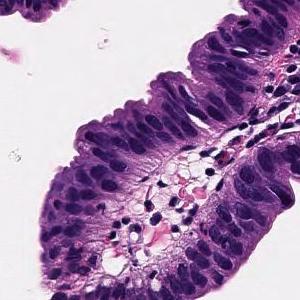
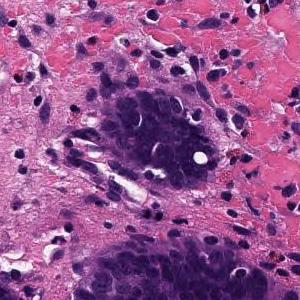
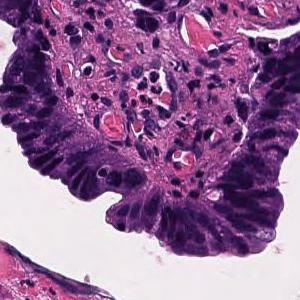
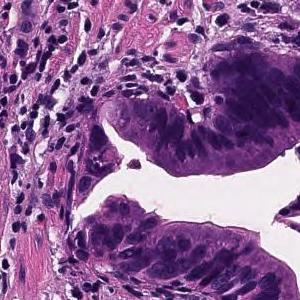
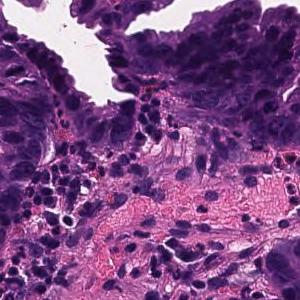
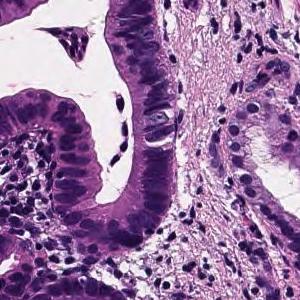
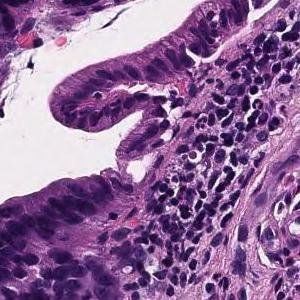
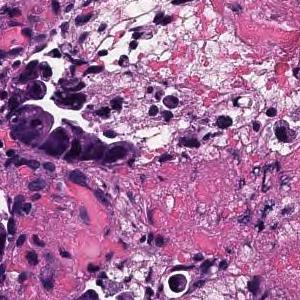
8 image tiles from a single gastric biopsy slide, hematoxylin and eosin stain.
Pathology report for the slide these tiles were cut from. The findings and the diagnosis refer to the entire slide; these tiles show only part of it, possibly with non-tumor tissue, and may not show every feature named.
Tumor cells are large, highly columnar, large club-shaped nuclei, and are associated with chromatin aggregation. Papillary adenocarcinoma.
